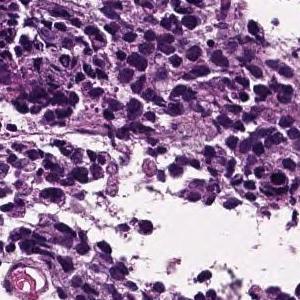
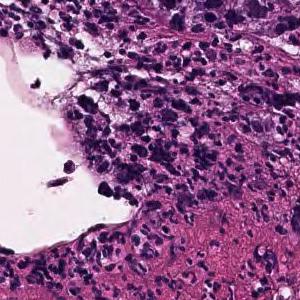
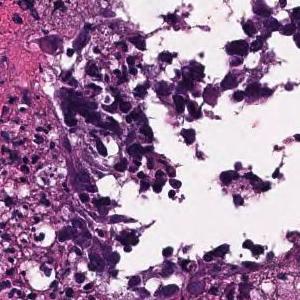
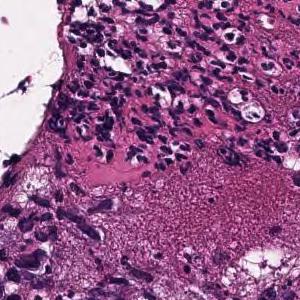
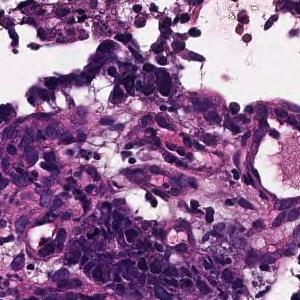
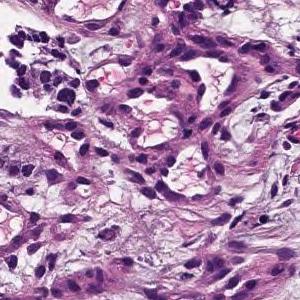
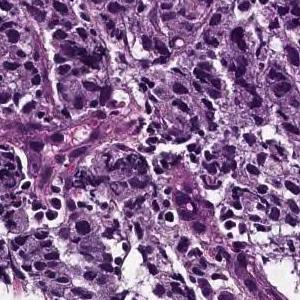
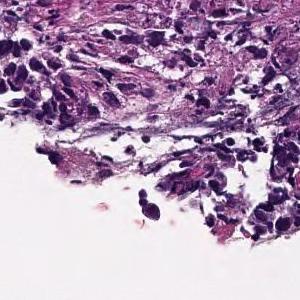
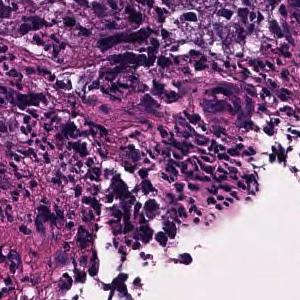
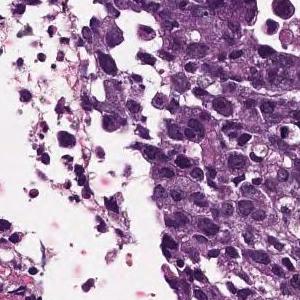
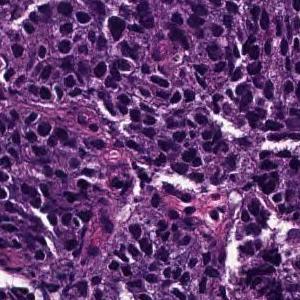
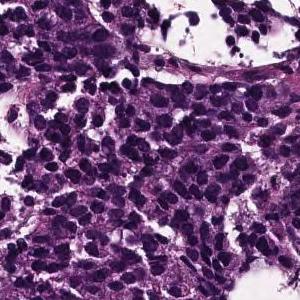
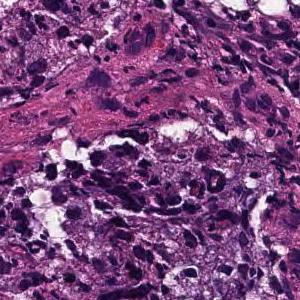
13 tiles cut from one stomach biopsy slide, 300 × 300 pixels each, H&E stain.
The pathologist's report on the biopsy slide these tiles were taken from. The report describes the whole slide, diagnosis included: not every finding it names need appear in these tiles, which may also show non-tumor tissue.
The superficial epithelium shows a large sheet-like shape, and some tumor tissue infiltrates with small irregular ducts. Poorly differentiated adenocarcinoma, solid-type
Histological subtype: Poorly differentiated adenocarcinoma, solid type, a category of the Japanese Classification of Gastric Carcinoma; in the WHO 2019 classification it is tubular adenocarcinoma, poorly differentiated.
